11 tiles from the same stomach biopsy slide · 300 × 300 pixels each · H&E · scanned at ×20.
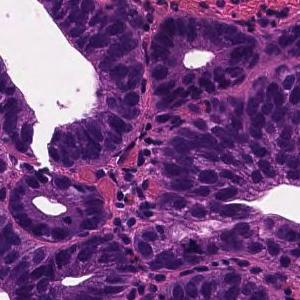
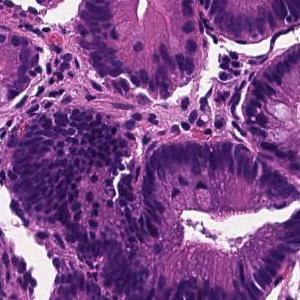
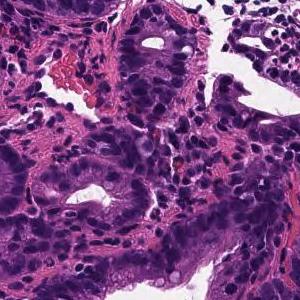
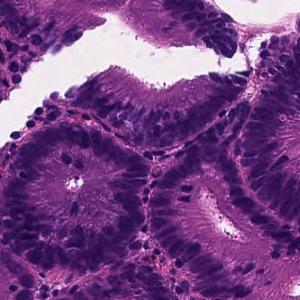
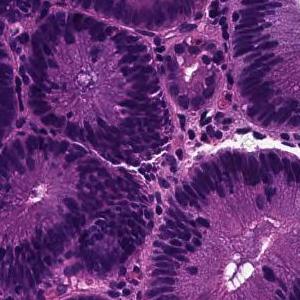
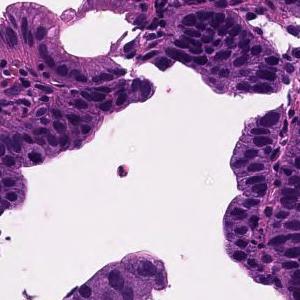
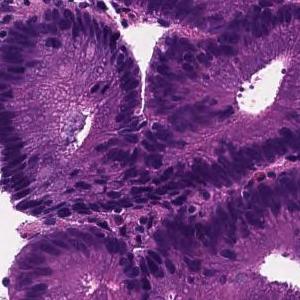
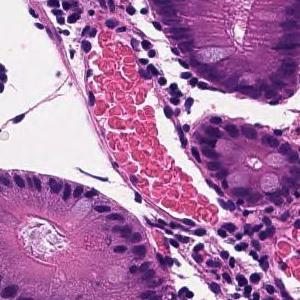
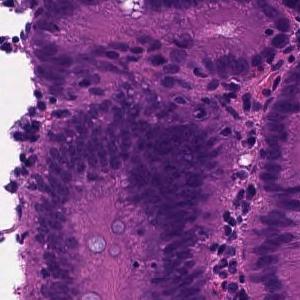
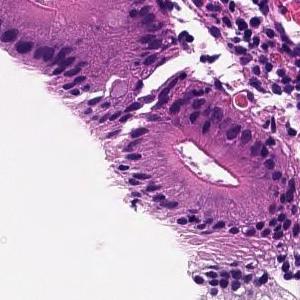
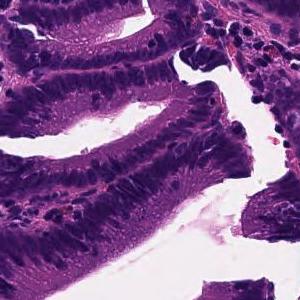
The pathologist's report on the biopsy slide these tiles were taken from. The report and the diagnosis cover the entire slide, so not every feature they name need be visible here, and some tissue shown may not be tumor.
Tumor tissue in which medium to small irregular ducts infiltrate and proliferate in the submucosa can be seen in the epithelium. Well differentiated tubular adenocarcinoma
